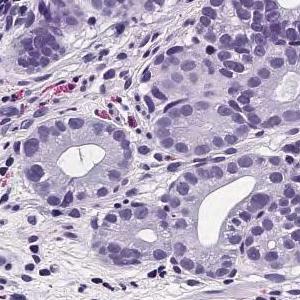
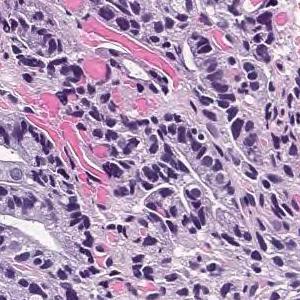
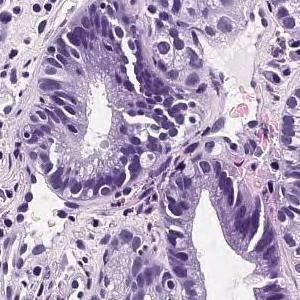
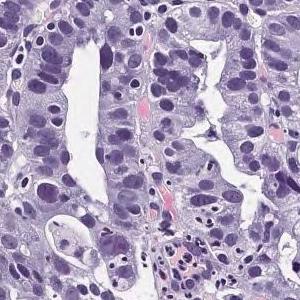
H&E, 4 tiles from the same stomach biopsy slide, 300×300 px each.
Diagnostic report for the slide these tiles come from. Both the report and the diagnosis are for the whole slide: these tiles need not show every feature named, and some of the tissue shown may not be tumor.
From the superficial epithelium to the muscularis mucosae, tumor tissue consisting of medium-sized and irregular glandular ducts infiltrating is observed. Well differentiated tubular adenocarcinoma
